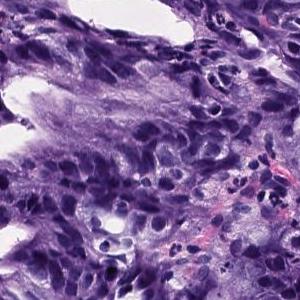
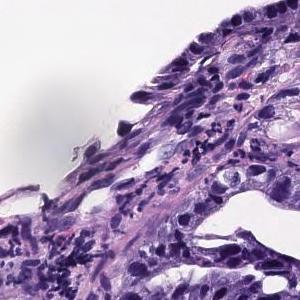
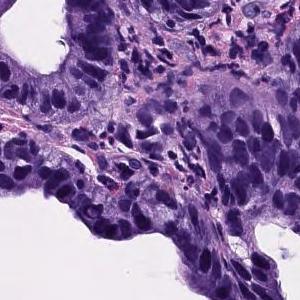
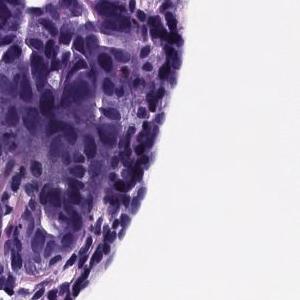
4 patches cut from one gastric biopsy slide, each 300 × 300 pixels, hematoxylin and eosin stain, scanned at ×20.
Pathology report for the biopsy slide these tiles were cut from. The report and the diagnosis cover the entire slide, so not every feature they name need be visible here, and some tissue shown may not be tumor.
Large atypical cells which form medium to large ducts are proliferating. Well differentiated adenocarcinoma (well differentiated tubular adenocarcinoma)
Classified as well differentiated tubular adenocarcinoma.
